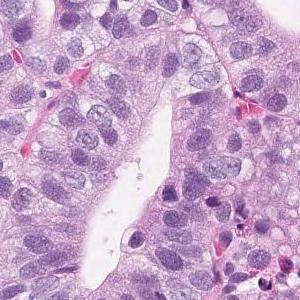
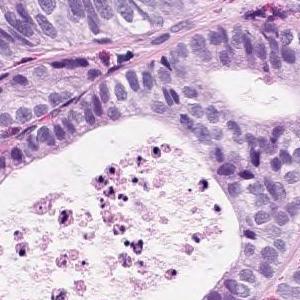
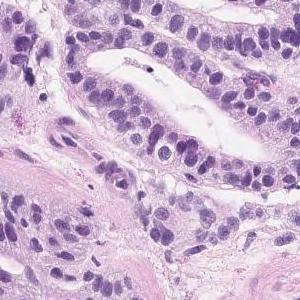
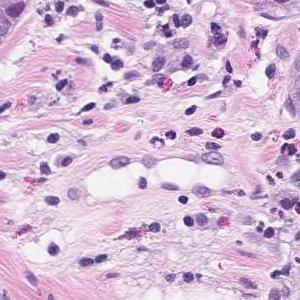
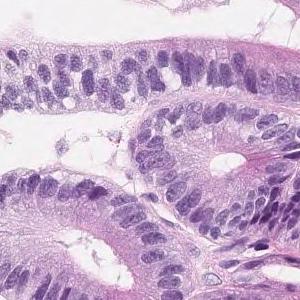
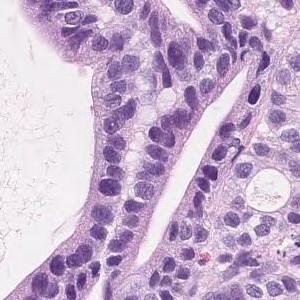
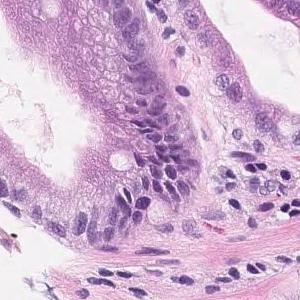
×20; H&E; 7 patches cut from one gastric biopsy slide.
Pathology report for the biopsy slide these tiles were cut from. Both the report and the diagnosis are for the whole slide: these tiles need not show every feature named, and some of the tissue shown may not be tumor.
Short atypical epithelium with swelling of the nucleus shows proliferating, large and small irregular ductal structures. Well to moderately differentiated tubular adenocarcinoma (well differentiated tubular adenocarcinoma-moderately differentiated tubular adenocarcinoma)
Tumor subtype: well to moderately differentiated tubular adenocarcinoma.
